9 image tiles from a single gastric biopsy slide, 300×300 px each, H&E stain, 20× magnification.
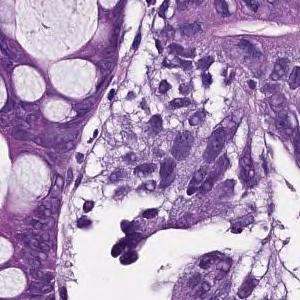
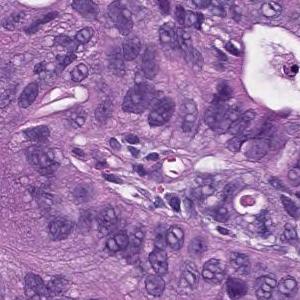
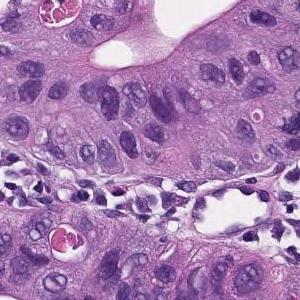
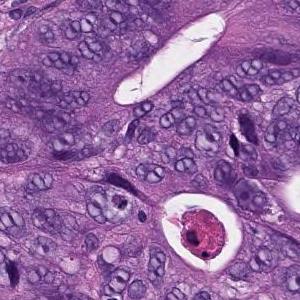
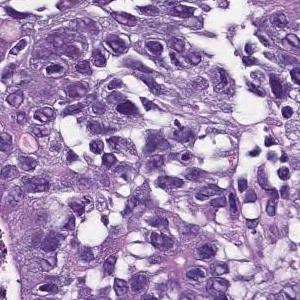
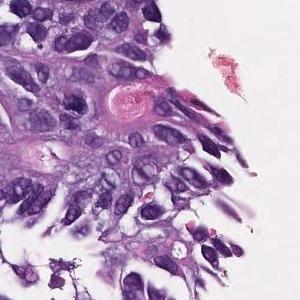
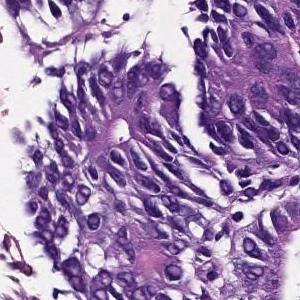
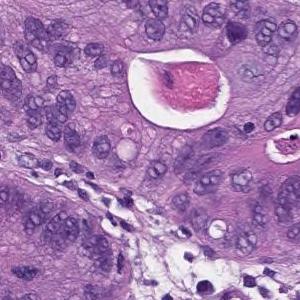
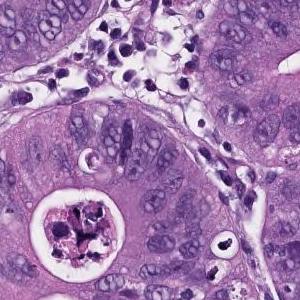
Report on the slide these tiles come from. Both the report and the diagnosis are for the whole slide: these tiles need not show every feature named, and some of the tissue shown may not be tumor.
In the superficial epithelium, tumor tissue that invades by forming medium-sized to small, irregular ducts is observed. moderately differentiated tubular adenocarcinoma.
